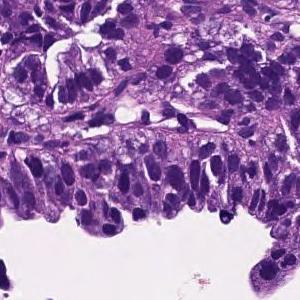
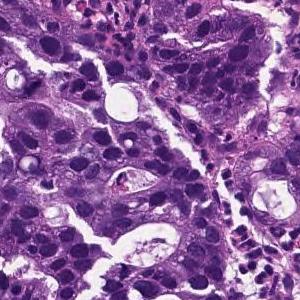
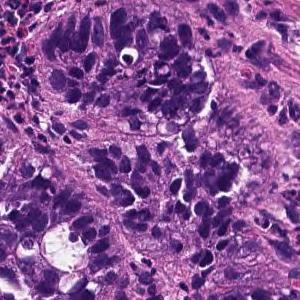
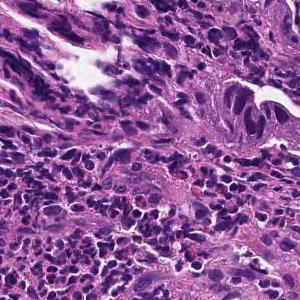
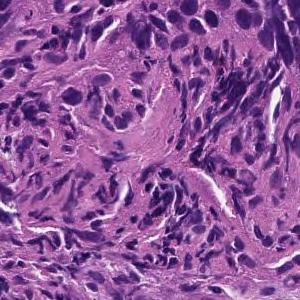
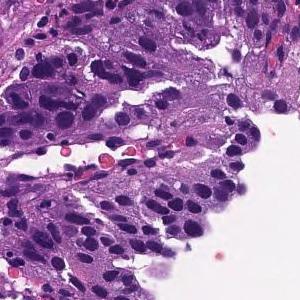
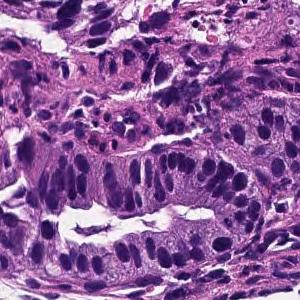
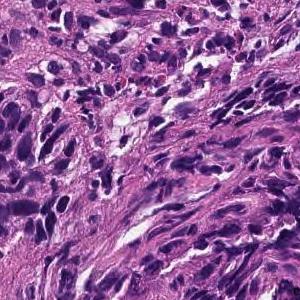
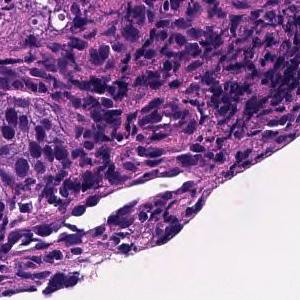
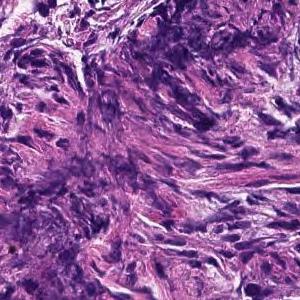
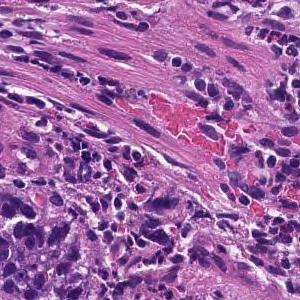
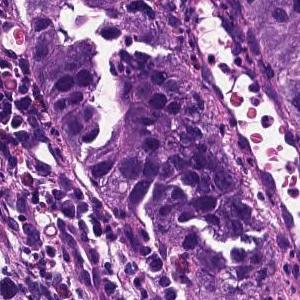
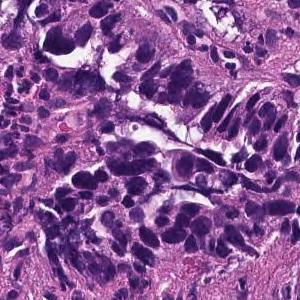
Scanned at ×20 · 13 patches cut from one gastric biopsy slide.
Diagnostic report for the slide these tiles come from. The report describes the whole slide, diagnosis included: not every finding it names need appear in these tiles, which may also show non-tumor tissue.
Tumor tissue consisting of large papillary structures is found in the superficial epithelium. Papillary adenocarcinoma.
